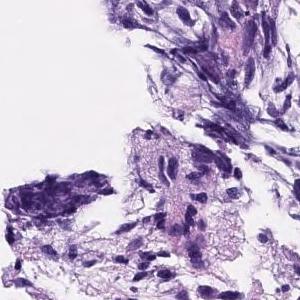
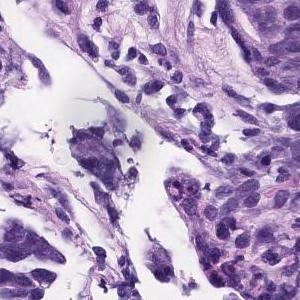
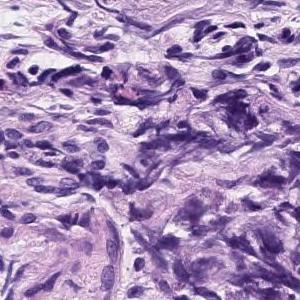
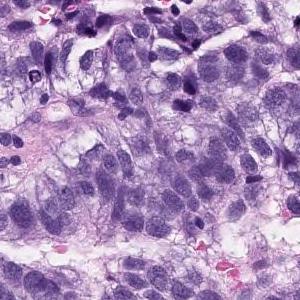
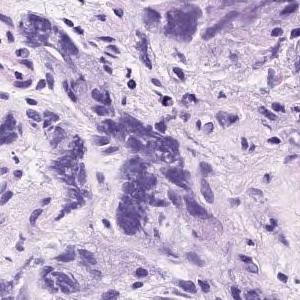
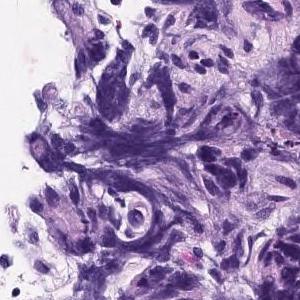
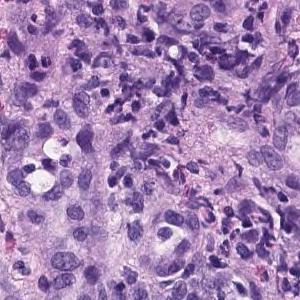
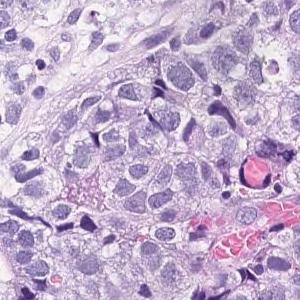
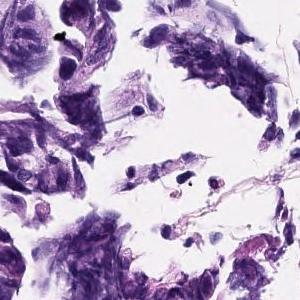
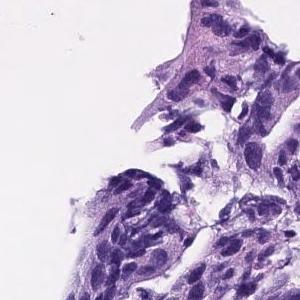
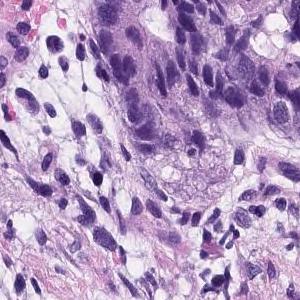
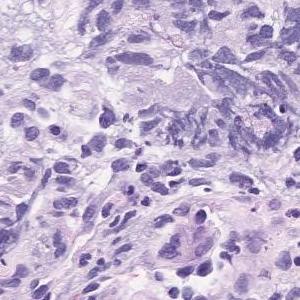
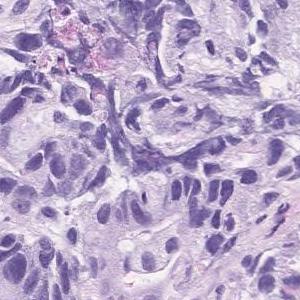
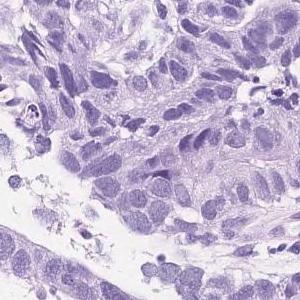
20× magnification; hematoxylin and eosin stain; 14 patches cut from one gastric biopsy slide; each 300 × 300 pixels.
Diagnostic report for the slide these tiles come from. The findings and the diagnosis refer to the entire slide; these tiles show only part of it, possibly with non-tumor tissue, and may not show every feature named.
Atypical epithelial cells with an increased N/C ratio proliferate and consist of a part that shows the formation of gland ducts and a part that shows solid growth. Poorly differentiated adenocarcinoma, solid-type
Histologic type: Poorly differentiated adenocarcinoma, solid type (Japanese Classification of Gastric Carcinoma). The WHO 2019 equivalent is tubular adenocarcinoma, poorly differentiated.
